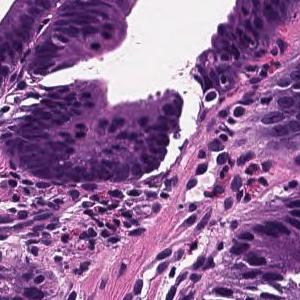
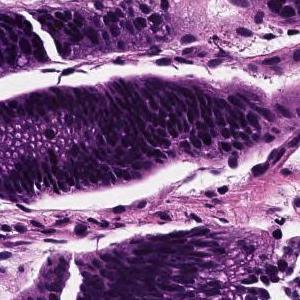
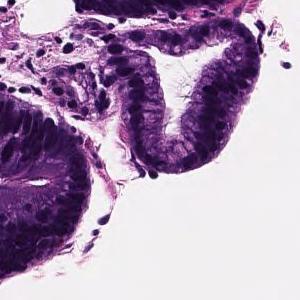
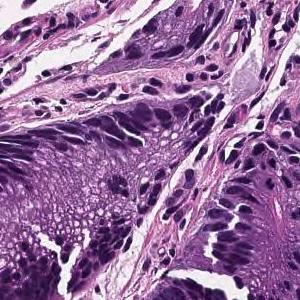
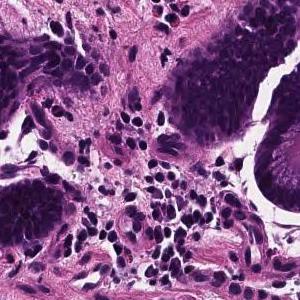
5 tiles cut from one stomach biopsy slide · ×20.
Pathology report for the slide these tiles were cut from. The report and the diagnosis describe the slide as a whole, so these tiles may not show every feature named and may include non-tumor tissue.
Tumor cells are large, highly columnar, large club-shaped nuclei, and are associated with chromatin aggregation. Papillary adenocarcinoma.
